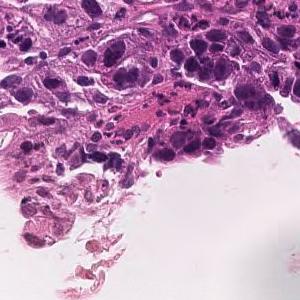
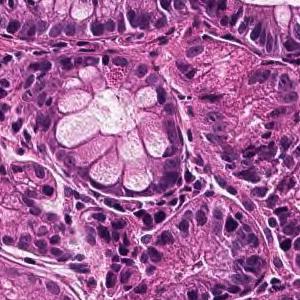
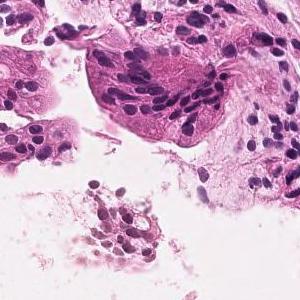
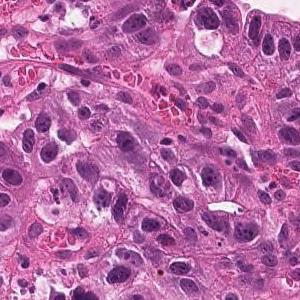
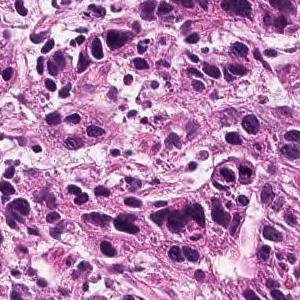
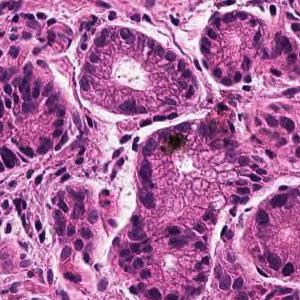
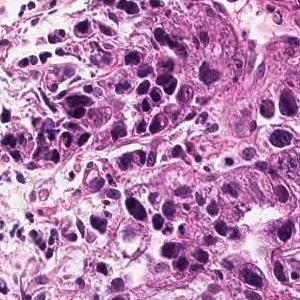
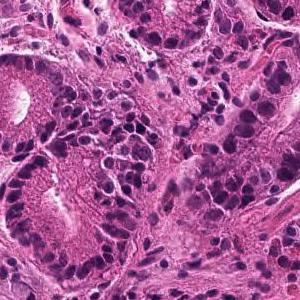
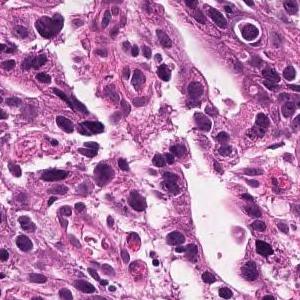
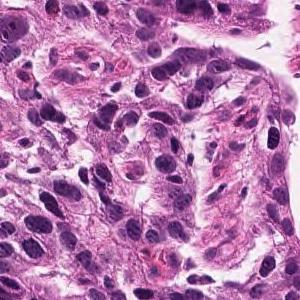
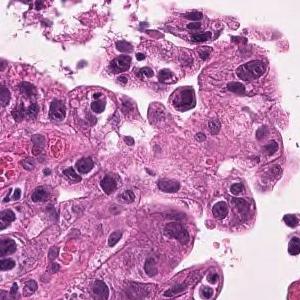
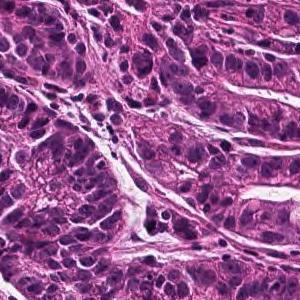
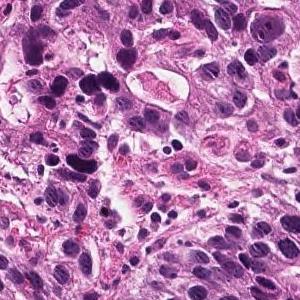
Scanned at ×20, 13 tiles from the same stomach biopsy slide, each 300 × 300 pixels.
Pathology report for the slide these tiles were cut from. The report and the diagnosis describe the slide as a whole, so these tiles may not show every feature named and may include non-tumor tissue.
Tumor tissue consisting of medium-sized, cord-like or irregular glandular infiltration is observed in the superficial epithelium. Poorly differentiated adenocarcinoma, non-solid type or moderately differentiated tubular adenocarcinoma
Histological subtype: Moderately to poorly differentiated adenocarcinoma.
The non-solid type named here is a Japanese Classification of Gastric Carcinoma category.
